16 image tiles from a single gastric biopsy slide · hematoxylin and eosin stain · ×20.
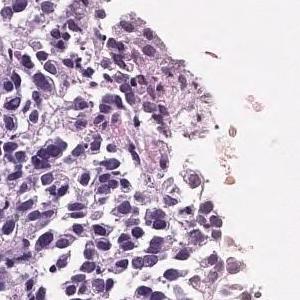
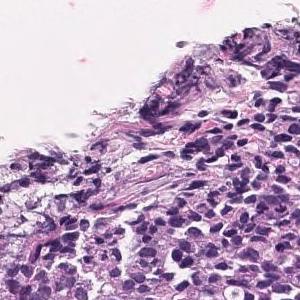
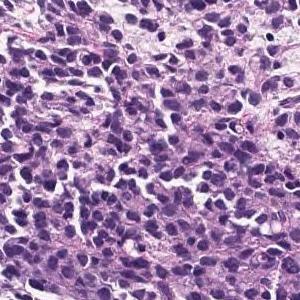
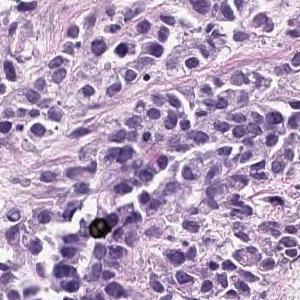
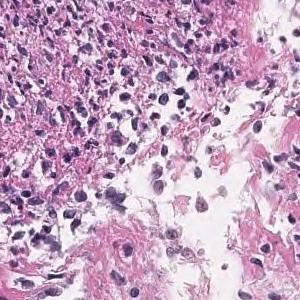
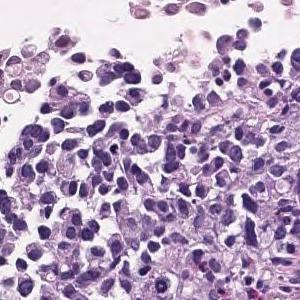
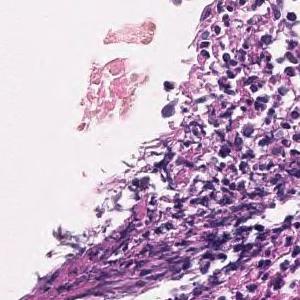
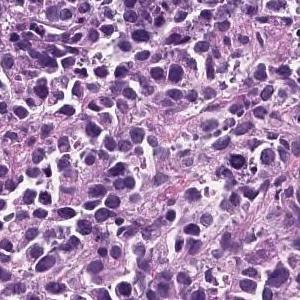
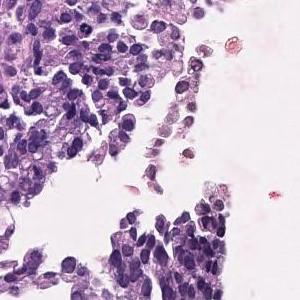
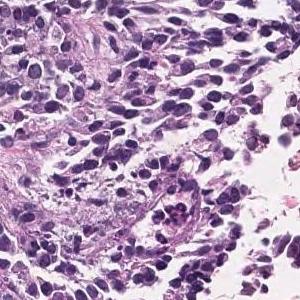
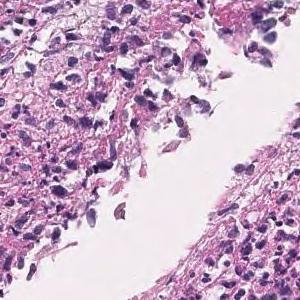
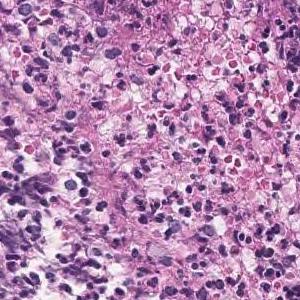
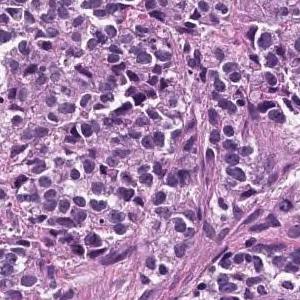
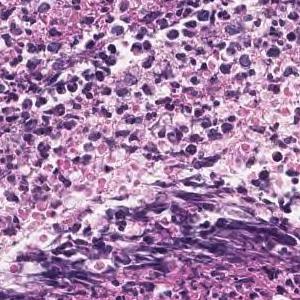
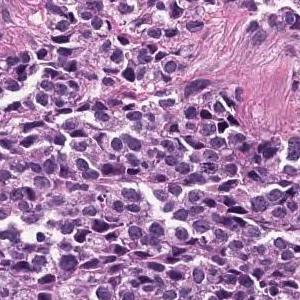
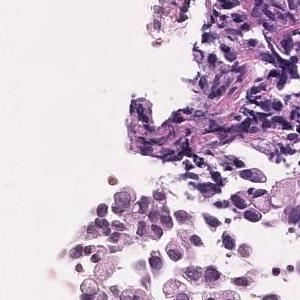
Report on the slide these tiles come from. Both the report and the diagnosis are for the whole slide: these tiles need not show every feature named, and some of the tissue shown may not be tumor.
The superficial epithelium shows a large sheet-like shape, and some tumor tissue infiltrates with small irregular ducts. Poorly differentiated adenocarcinoma, solid-type
Subtype: Poorly differentiated adenocarcinoma, solid type. This name comes from the Japanese Classification of Gastric Carcinoma; the WHO 2019 classification calls it tubular adenocarcinoma, poorly differentiated.
